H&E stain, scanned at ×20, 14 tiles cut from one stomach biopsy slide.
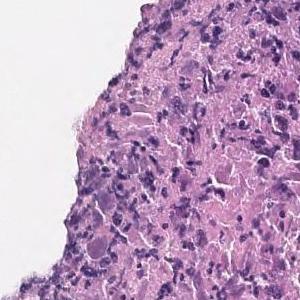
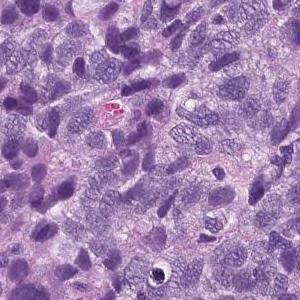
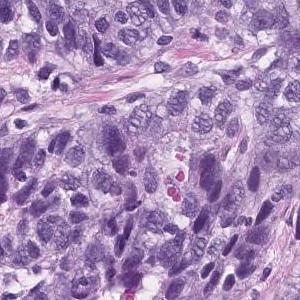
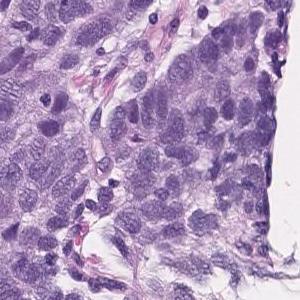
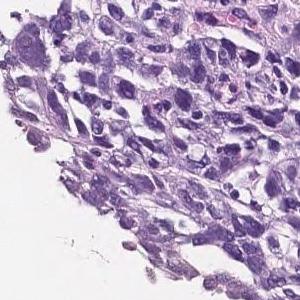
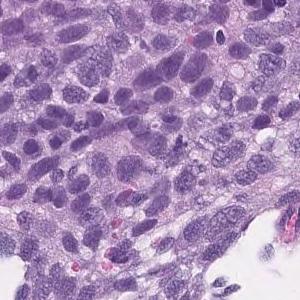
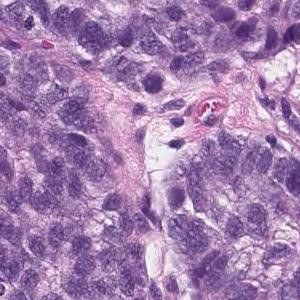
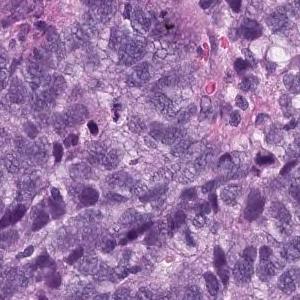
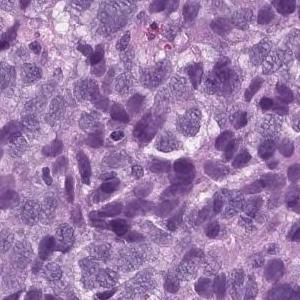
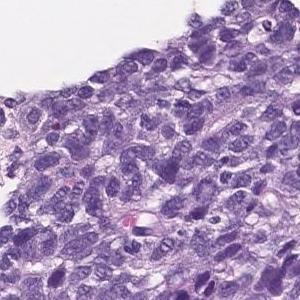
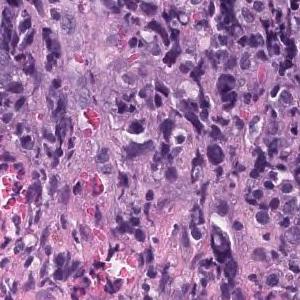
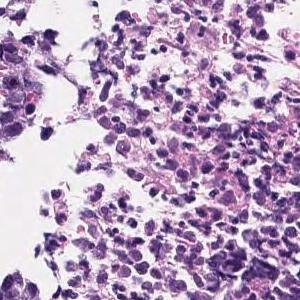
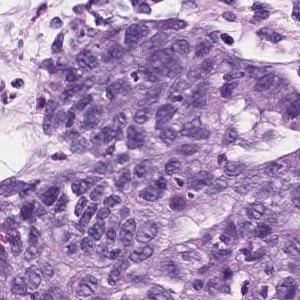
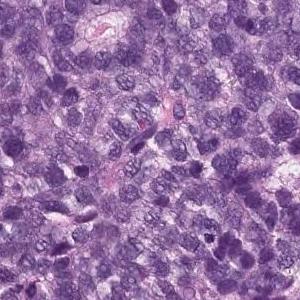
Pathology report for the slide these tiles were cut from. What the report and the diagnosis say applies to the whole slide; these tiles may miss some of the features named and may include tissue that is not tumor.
Epithelial cells with swollen nuclei with atypia invasively proliferating while forming vesicles is observed. Poorly differentiated adenocarcinoma
Subtype: Poorly differentiated adenocarcinoma, solid type, a category of the Japanese Classification of Gastric Carcinoma; in the WHO 2019 classification it is tubular adenocarcinoma, poorly differentiated.
